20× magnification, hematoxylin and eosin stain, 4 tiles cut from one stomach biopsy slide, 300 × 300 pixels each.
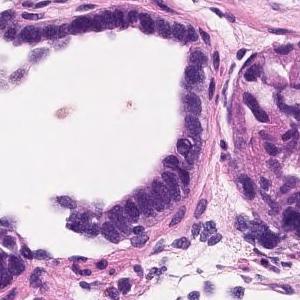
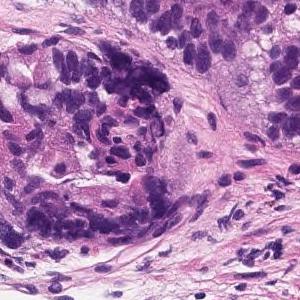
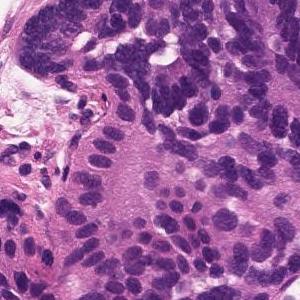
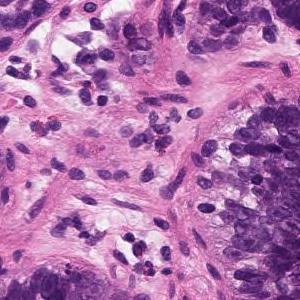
The pathologist's report on the biopsy slide these tiles were taken from. The report and the diagnosis describe the slide as a whole, so these tiles may not show every feature named and may include non-tumor tissue.
Atypical epithelium with tight nuclei shows irregular or sieving duct construction and proliferates. Well to moderately differentiated tubular adenocarcinoma (well differentiated tubular adenocarcinoma-moderately differentiated tubular adenocarcinoma)
Histologic type: Well to moderately differentiated tubular adenocarcinoma.
